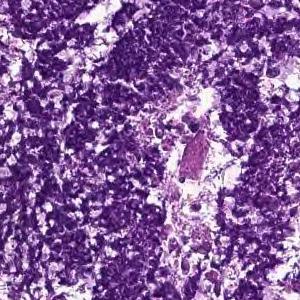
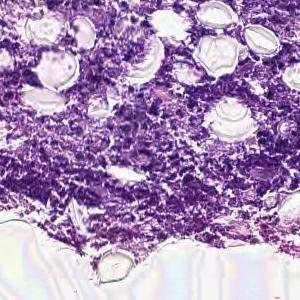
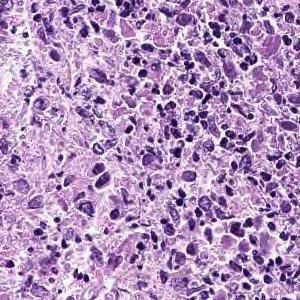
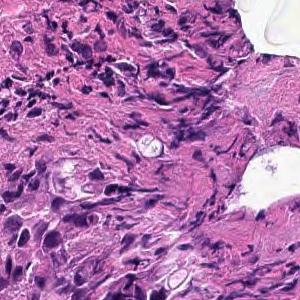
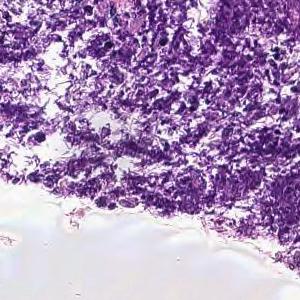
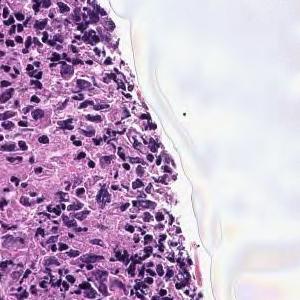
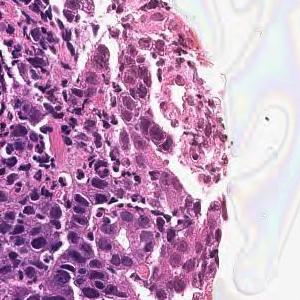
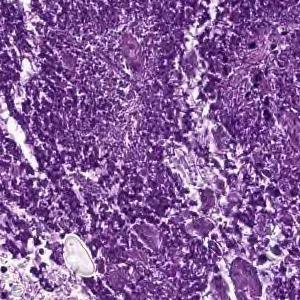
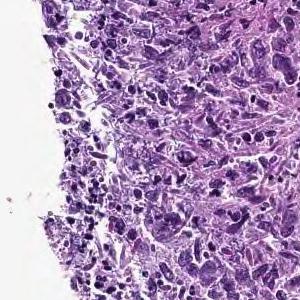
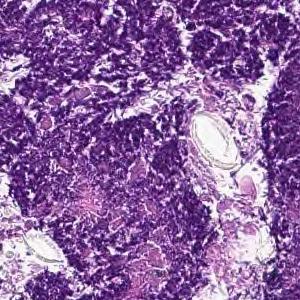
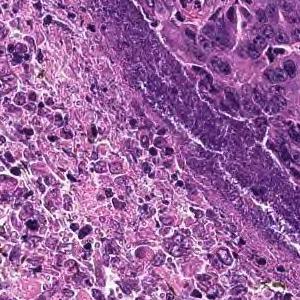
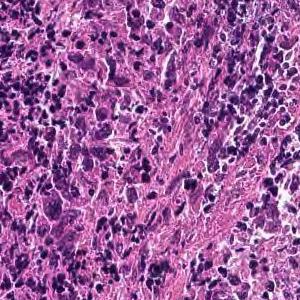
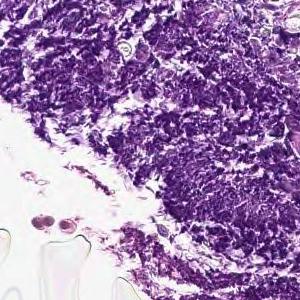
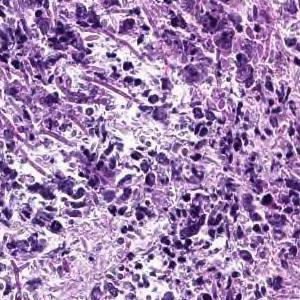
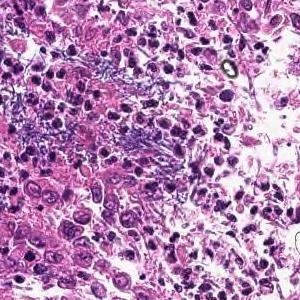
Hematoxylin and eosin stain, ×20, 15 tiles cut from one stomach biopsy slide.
Report on the slide these tiles come from. The report and the diagnosis describe the slide as a whole, so these tiles may not show every feature named and may include non-tumor tissue.
Cancers with polygonal nuclei do not show glandular formation and are densely, in part, cord-like and proliferate. Poorly differentiated adenocarcinoma
Classified as poorly differentiated adenocarcinoma, non-solid type.
The non-solid type named here is a Japanese Classification of Gastric Carcinoma category.
